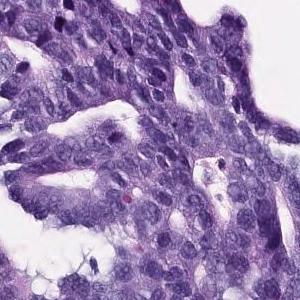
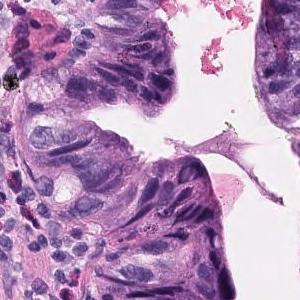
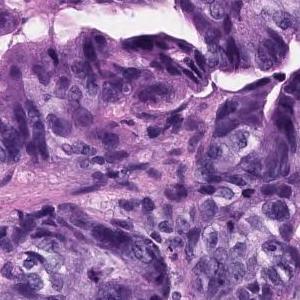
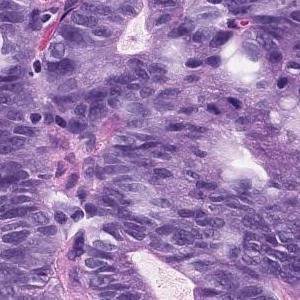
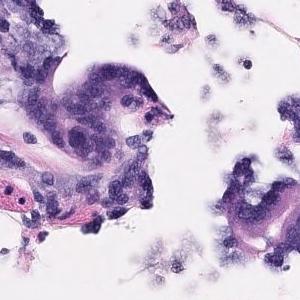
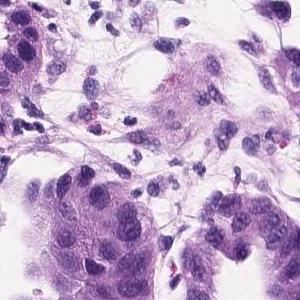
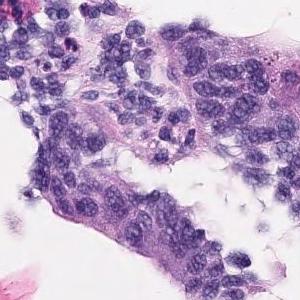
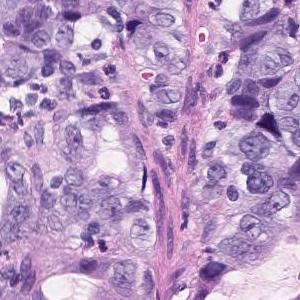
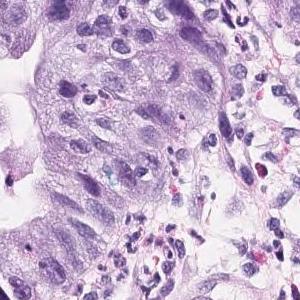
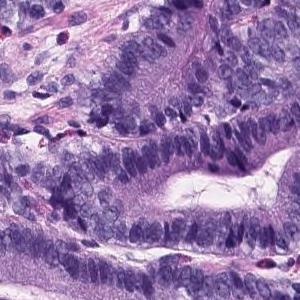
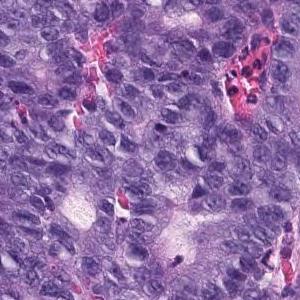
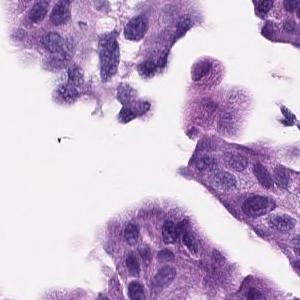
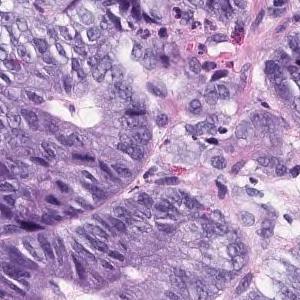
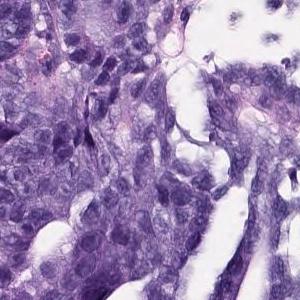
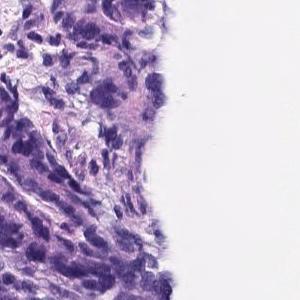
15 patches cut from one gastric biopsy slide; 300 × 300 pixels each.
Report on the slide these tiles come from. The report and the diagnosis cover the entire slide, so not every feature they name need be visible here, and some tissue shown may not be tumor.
In the superficial epithelium, tumor tissue that invades by forming medium-sized to small, irregular ducts is observed. Well to moderately differentiated tubular adenocarcinoma.
